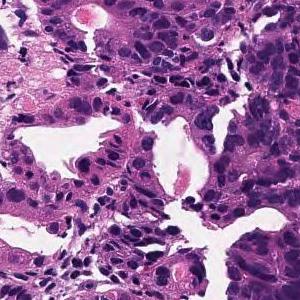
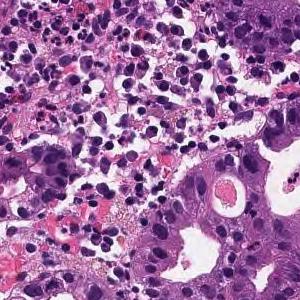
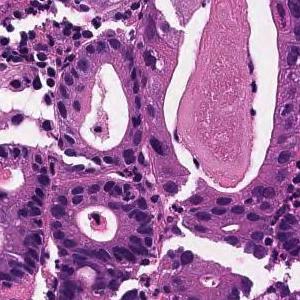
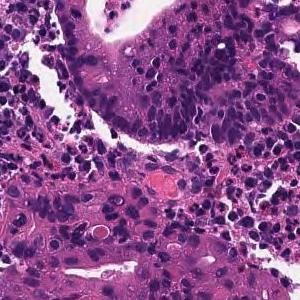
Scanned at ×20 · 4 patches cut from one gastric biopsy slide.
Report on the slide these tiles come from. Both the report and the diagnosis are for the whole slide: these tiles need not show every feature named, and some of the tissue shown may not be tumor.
In the superficial epithelium, tumor tissue that invades by forming medium-sized to small, irregular ducts is observed. moderately differentiated tubular adenocarcinoma.
